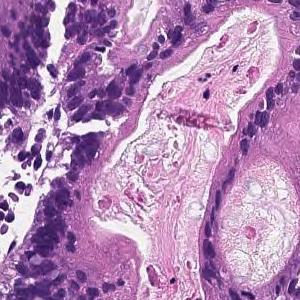
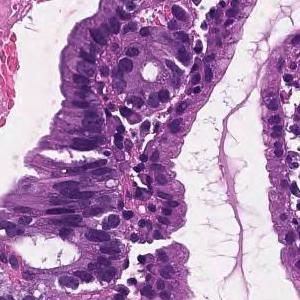
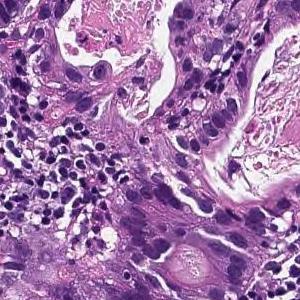
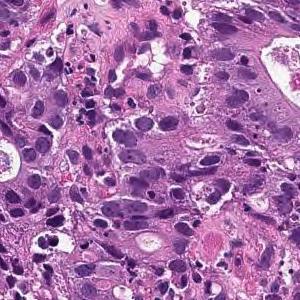
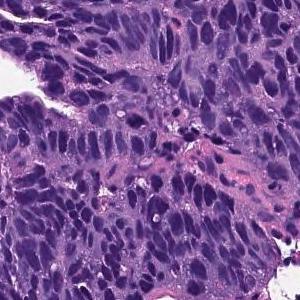
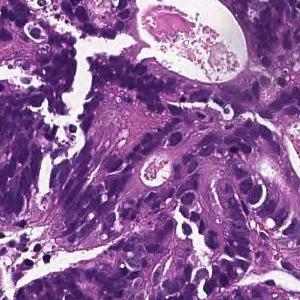
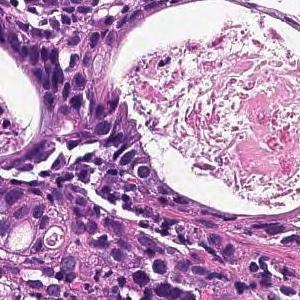
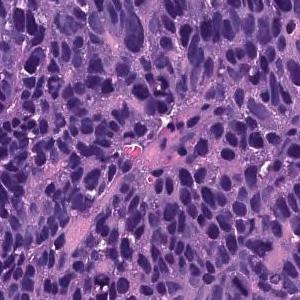
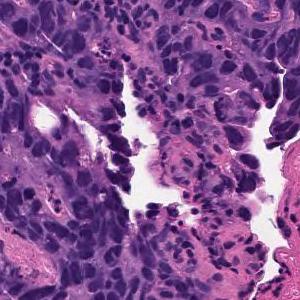
9 image tiles from a single gastric biopsy slide, ×20, H&E.
The pathologist's report on the biopsy slide these tiles were taken from. The report and the diagnosis cover the entire slide, so not every feature they name need be visible here, and some tissue shown may not be tumor.
In the superficial epithelium, tumor tissue that invades by forming medium-sized to small, irregular ducts is observed. moderately differentiated tubular adenocarcinoma.
